H&E stain, 20× magnification, 4 tiles from the same stomach biopsy slide, each 300 × 300 pixels.
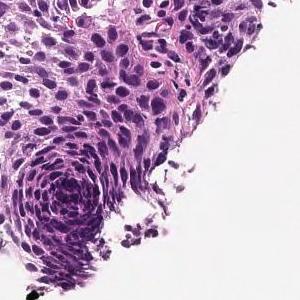
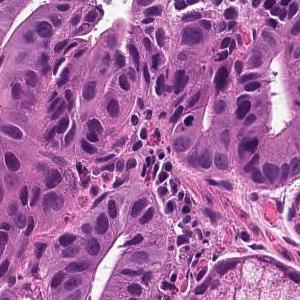
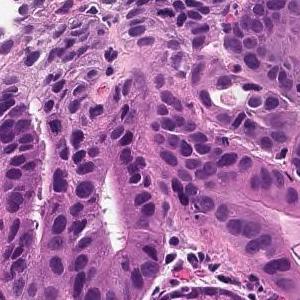
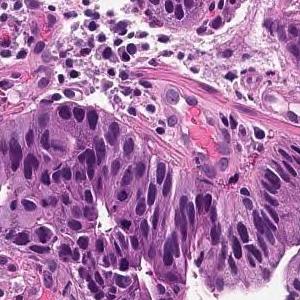
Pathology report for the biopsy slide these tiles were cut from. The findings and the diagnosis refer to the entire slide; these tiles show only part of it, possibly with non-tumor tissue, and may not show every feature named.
On the superficial epithelium, tumor tissue is found in which medium-sized irregular gland ducts fuse with each other and infiltrate. moderately differentiated tubular adenocarcinoma
